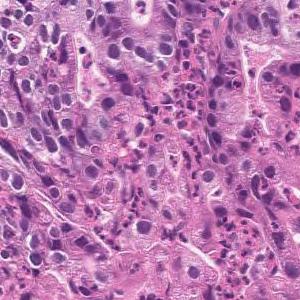
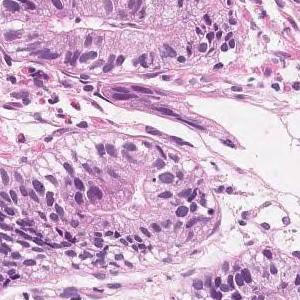
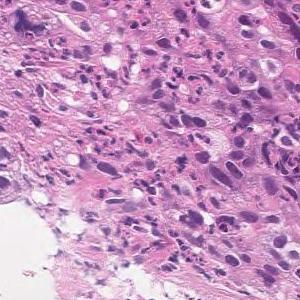
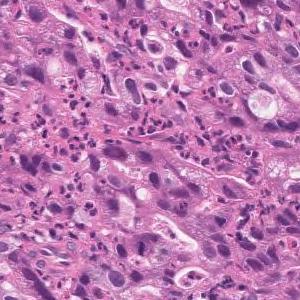
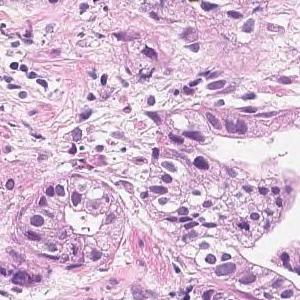
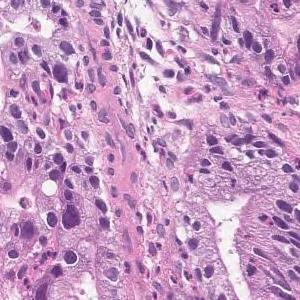
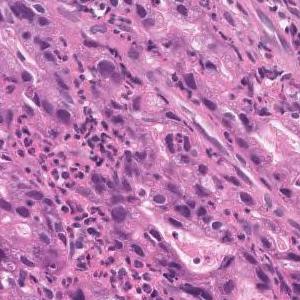
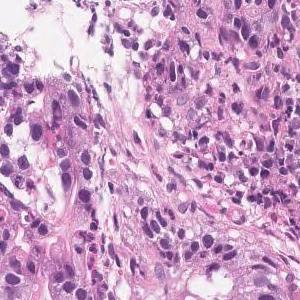
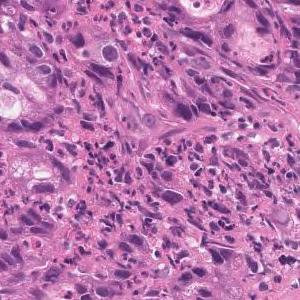
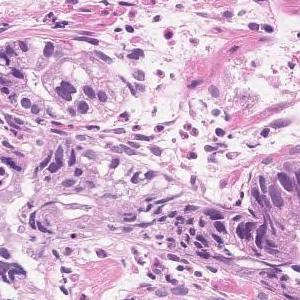
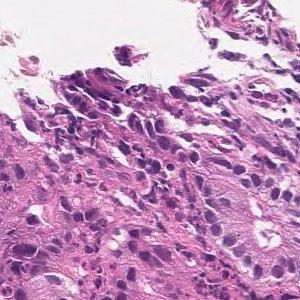
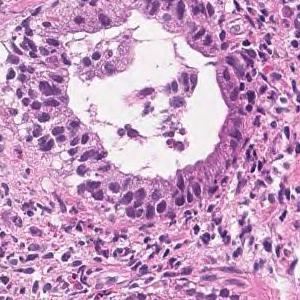
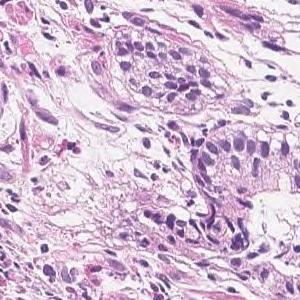
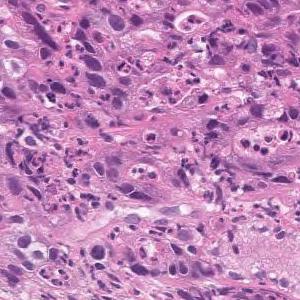
H&E; 14 tiles from the same stomach biopsy slide.
Diagnostic report for the slide these tiles come from. The findings and the diagnosis refer to the entire slide; these tiles show only part of it, possibly with non-tumor tissue, and may not show every feature named.
In the superficial epithelium, tumor tissue that invades by forming medium-sized to small, irregular ducts is observed. Moderately differentiated adenocarcinoma.
Subtype: Moderately differentiated tubular adenocarcinoma.
